H&E stain · scanned at ×20 · 12 tiles from the same stomach biopsy slide · 300×300 px each.
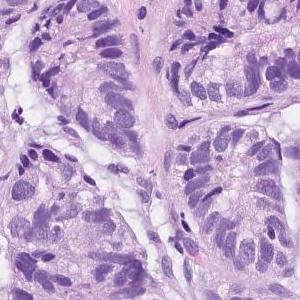
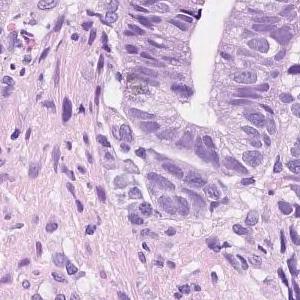
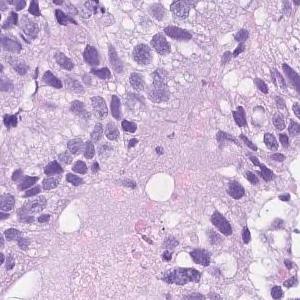
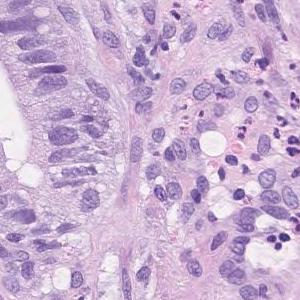
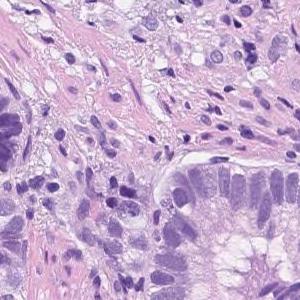
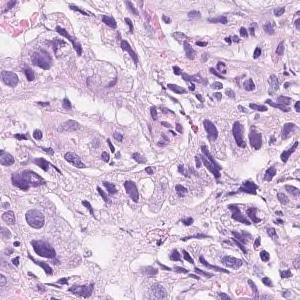
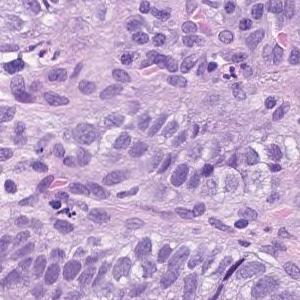
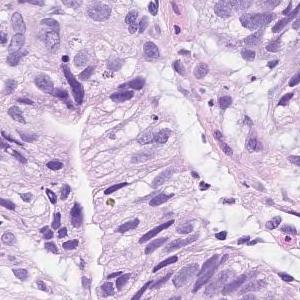
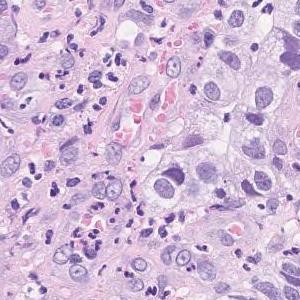
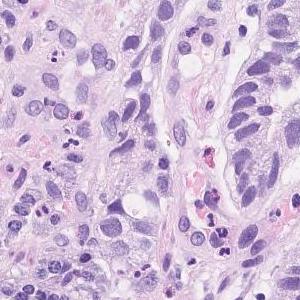
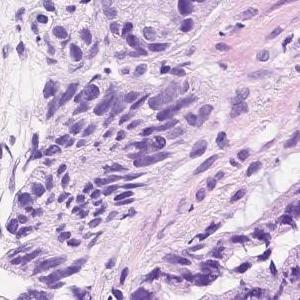
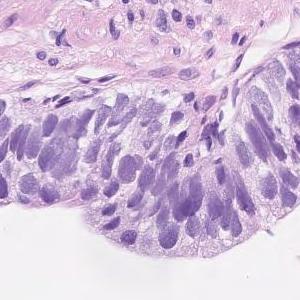
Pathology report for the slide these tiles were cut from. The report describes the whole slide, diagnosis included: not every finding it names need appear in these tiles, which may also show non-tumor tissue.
Atypical l cells with atypical nuclei forming solid or diffuse vesicles or small irregular atypical ducts and growing in a complex manner. moderately differentiated tubular adenocarcinoma
